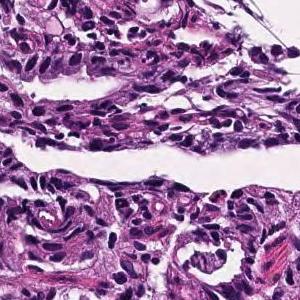
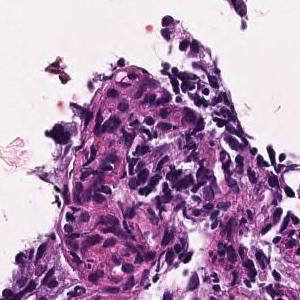
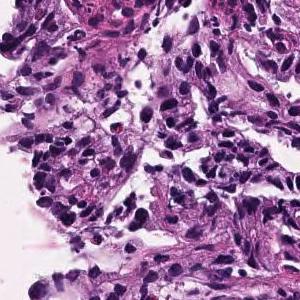
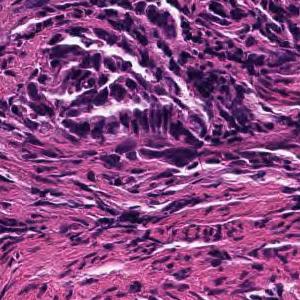
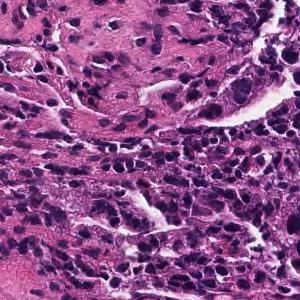
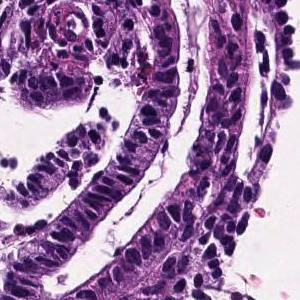
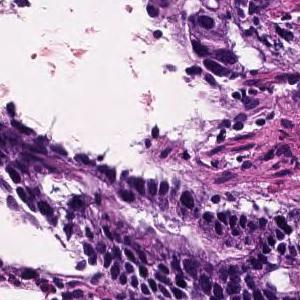
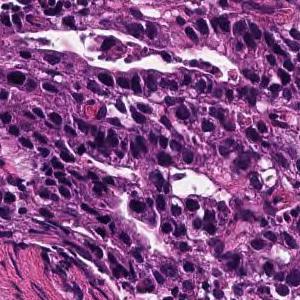
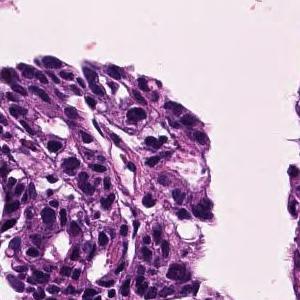
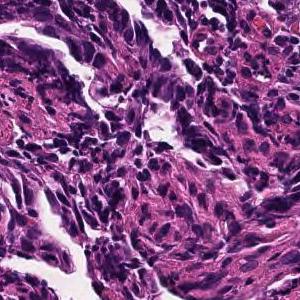
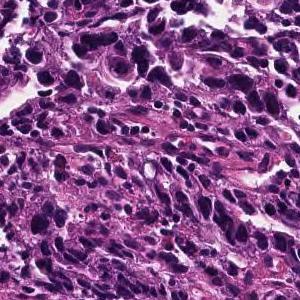
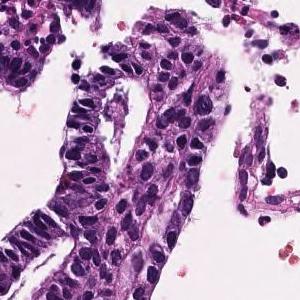
×20; hematoxylin and eosin stain; 12 tiles from the same stomach biopsy slide; 300×300 px each.
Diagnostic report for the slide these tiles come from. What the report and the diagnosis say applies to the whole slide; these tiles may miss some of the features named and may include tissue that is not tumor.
In the superficial epithelium, tumor tissue that invades by forming medium-sized to small, irregular ducts is observed. moderately differentiated tubular adenocarcinoma.
